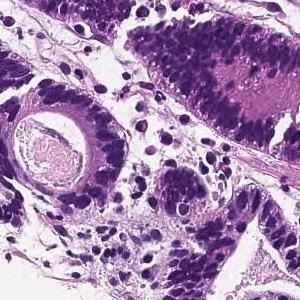
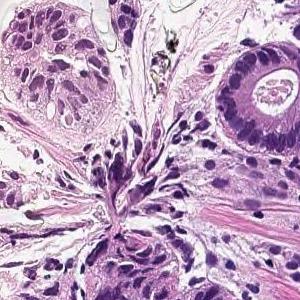
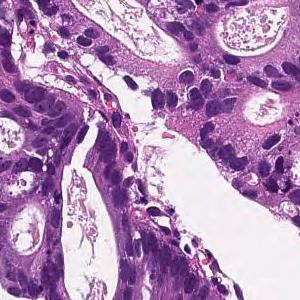
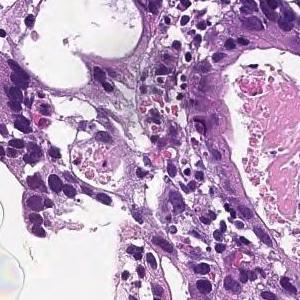
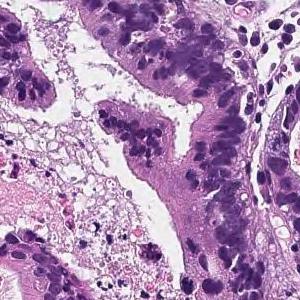
5 tiles from the same stomach biopsy slide; 20× magnification; hematoxylin and eosin stain.
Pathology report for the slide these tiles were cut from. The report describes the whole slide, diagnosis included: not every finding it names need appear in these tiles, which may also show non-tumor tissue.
In the superficial epithelium, tumor tissue that invades by forming medium-sized to small, irregular ducts is observed. moderately differentiated tubular adenocarcinoma.
